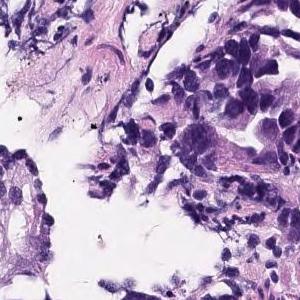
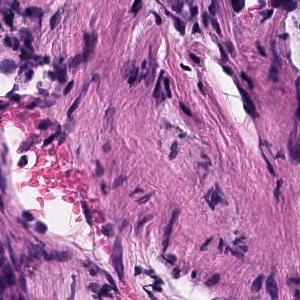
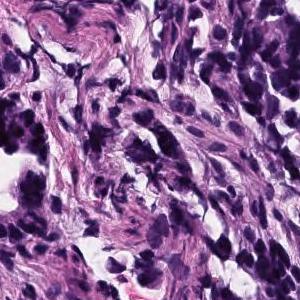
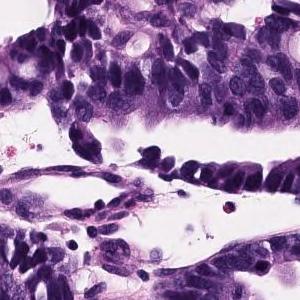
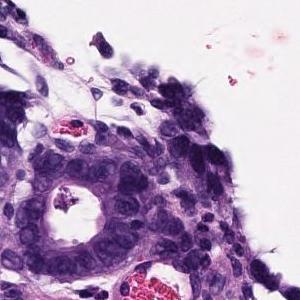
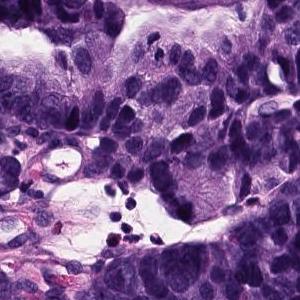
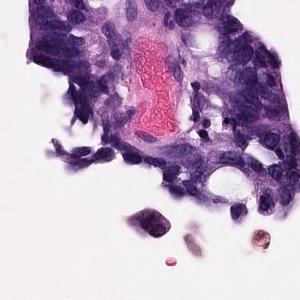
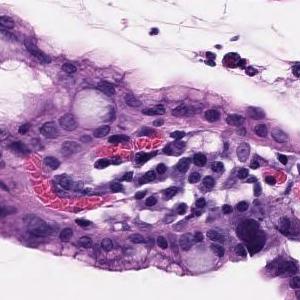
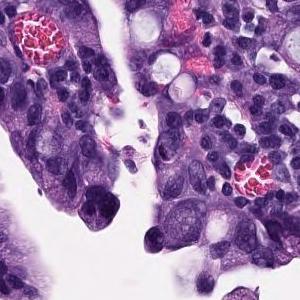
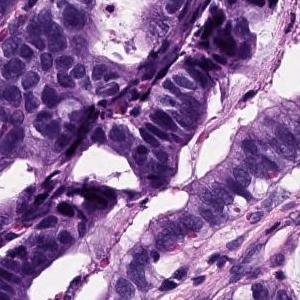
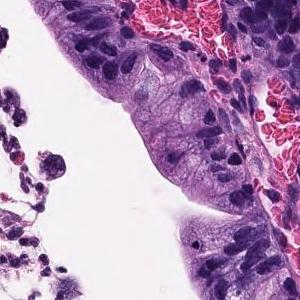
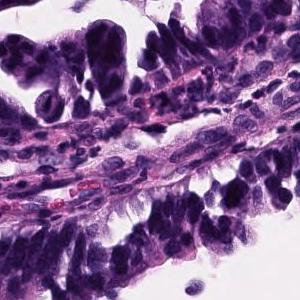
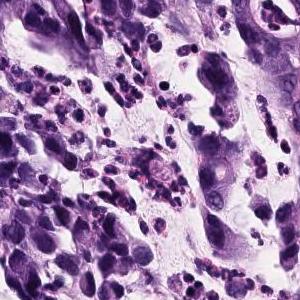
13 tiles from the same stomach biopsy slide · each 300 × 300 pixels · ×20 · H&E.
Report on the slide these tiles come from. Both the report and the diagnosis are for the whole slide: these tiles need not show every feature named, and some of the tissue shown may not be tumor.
Atypical epithelium proliferating showing villus construction and irregular gland duct construction is observed. Moderately differentiated tubular adenocarcinoma.
